Scanned at ×20; hematoxylin and eosin stain; 11 image tiles from a single gastric biopsy slide; 300 × 300 pixels each.
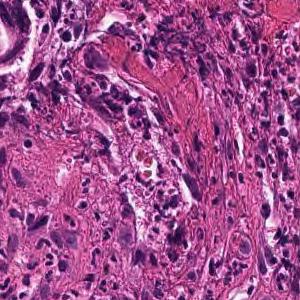
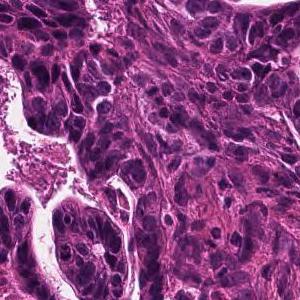
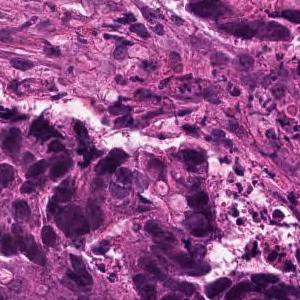
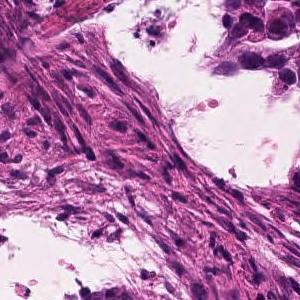
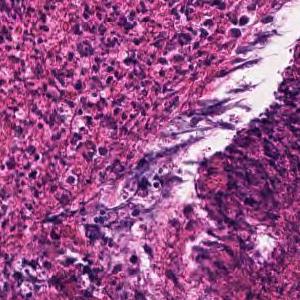
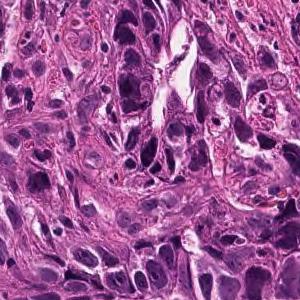
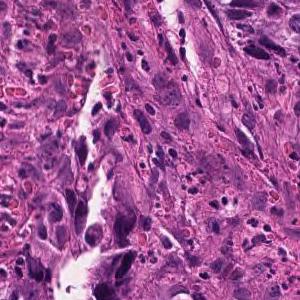
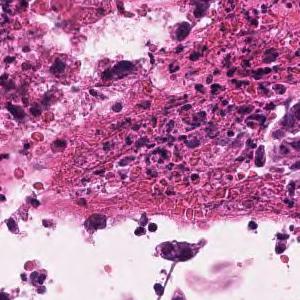
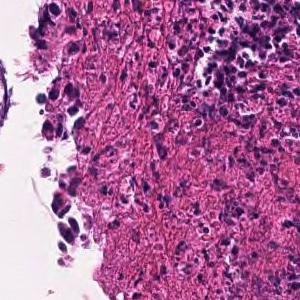
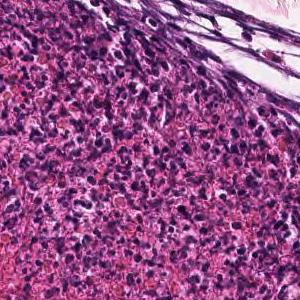
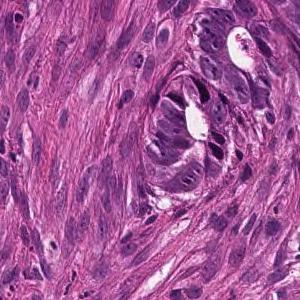
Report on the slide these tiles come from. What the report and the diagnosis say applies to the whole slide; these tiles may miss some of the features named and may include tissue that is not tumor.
In the superficial epithelium, tumor tissue that invades by forming medium-sized to small, irregular ducts is observed. moderately differentiated tubular adenocarcinoma.
